20× magnification, H&E stain, 14 patches cut from one gastric biopsy slide, 300 × 300 pixels each.
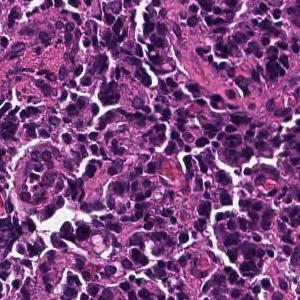
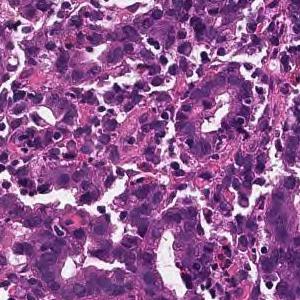
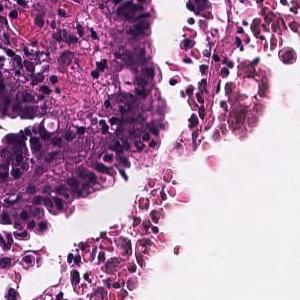
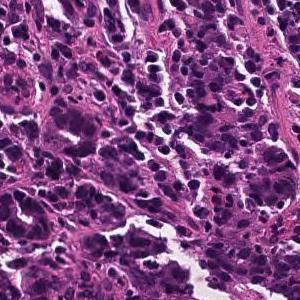
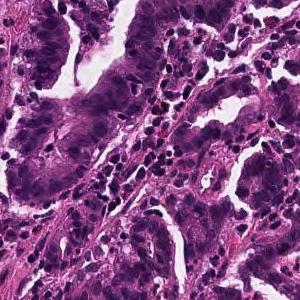
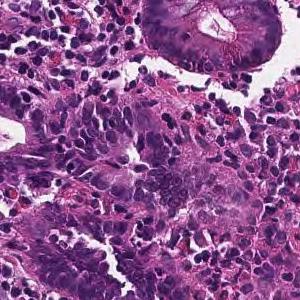
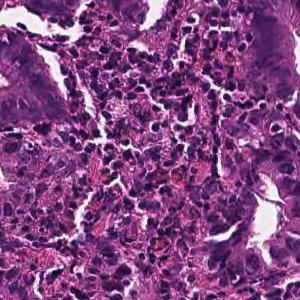
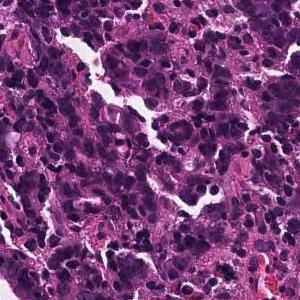
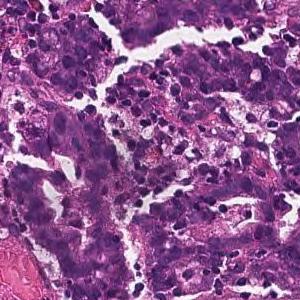
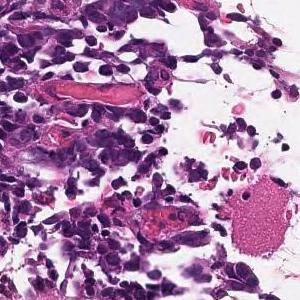
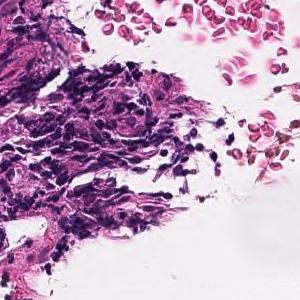
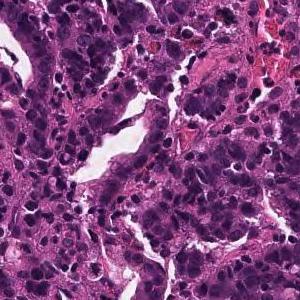
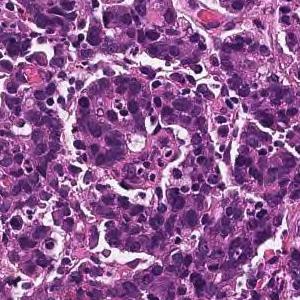
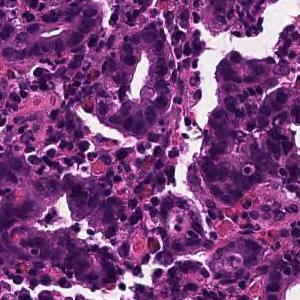
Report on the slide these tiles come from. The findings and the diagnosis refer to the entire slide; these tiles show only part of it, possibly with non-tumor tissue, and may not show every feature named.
In the superficial epithelium, tumor tissue that invades by forming medium-sized to small, irregular ducts is observed. moderately differentiated tubular adenocarcinoma.
